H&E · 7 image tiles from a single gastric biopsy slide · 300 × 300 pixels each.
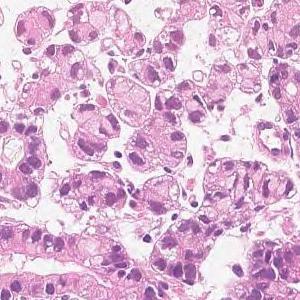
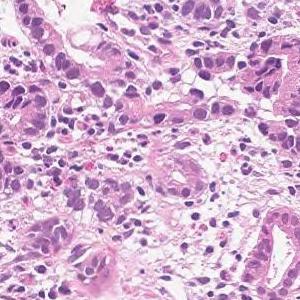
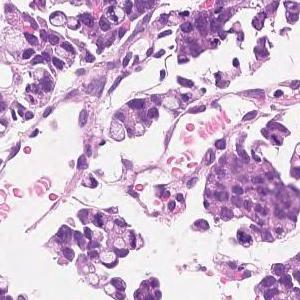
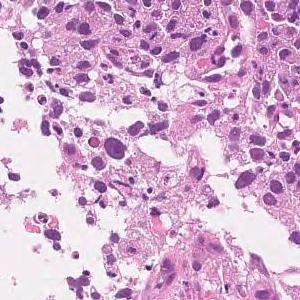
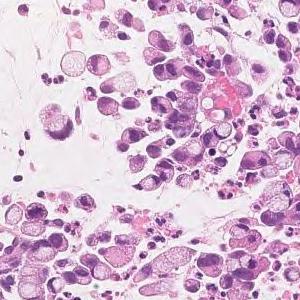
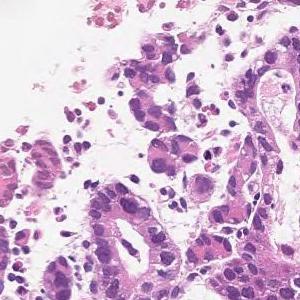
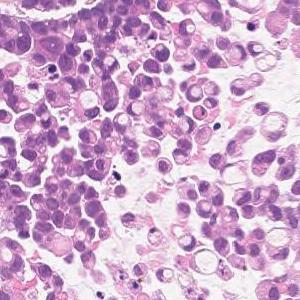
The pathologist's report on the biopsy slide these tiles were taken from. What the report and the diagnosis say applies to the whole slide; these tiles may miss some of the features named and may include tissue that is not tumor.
Medium to small, irregular glandular ducts are formed in the superficial epithelium, and in some cases, the glandular ducts are fused to show solid alveolar lesions and infiltrating tumor tissue is observed. Moderately to poorly differentiated adenocarcinoma.
